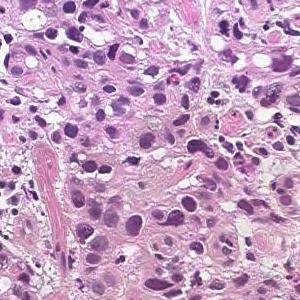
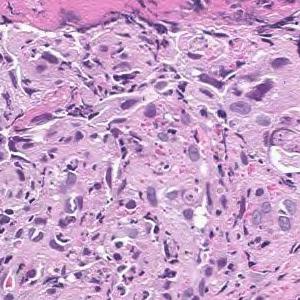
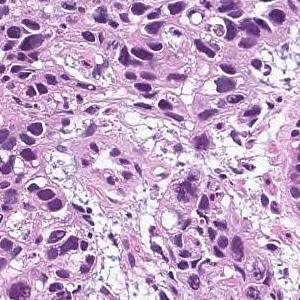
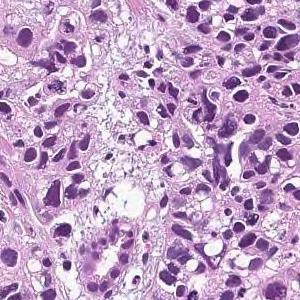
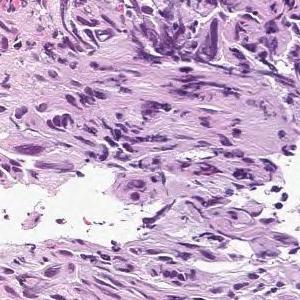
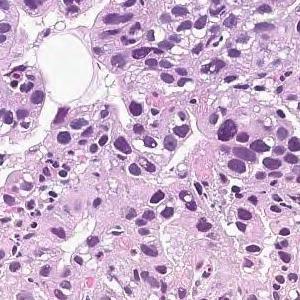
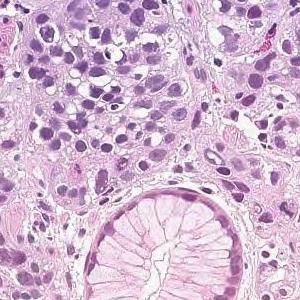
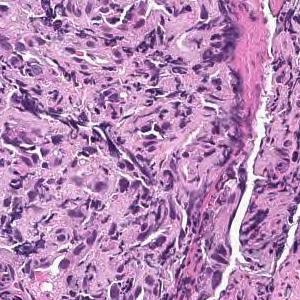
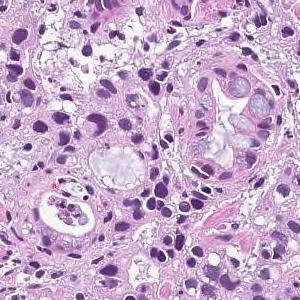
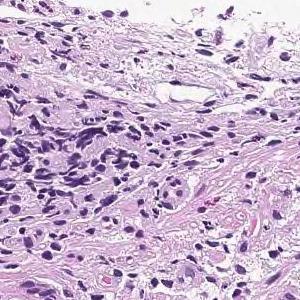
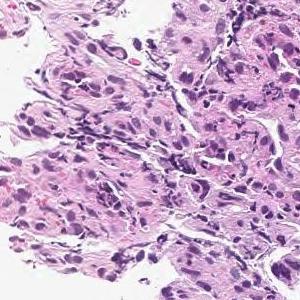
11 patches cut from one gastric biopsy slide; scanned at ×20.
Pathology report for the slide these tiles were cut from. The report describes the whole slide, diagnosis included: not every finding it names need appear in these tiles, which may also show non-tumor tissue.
Tumor tissue consisting of cord-like or small, irregular glandular ducts fused and infiltrated is observed in the superficial epithelium. Poorly differentiated adenocarcinoma, non-solid type
The non-solid type named here is a Japanese Classification of Gastric Carcinoma category.
